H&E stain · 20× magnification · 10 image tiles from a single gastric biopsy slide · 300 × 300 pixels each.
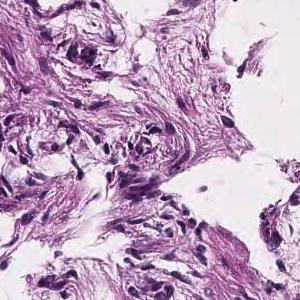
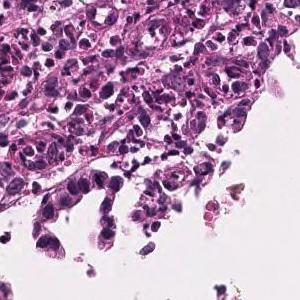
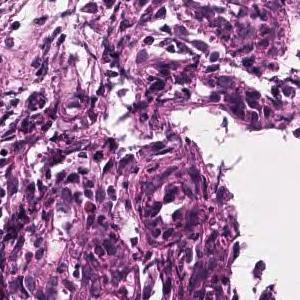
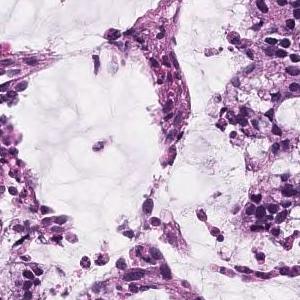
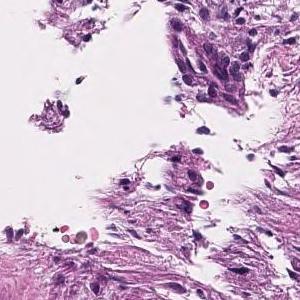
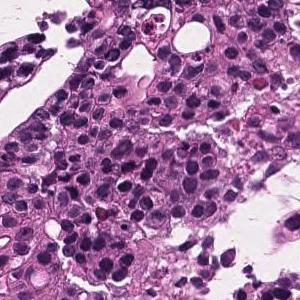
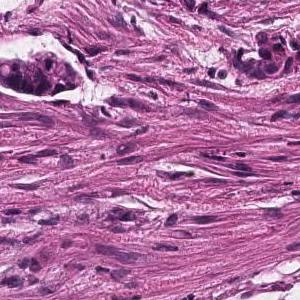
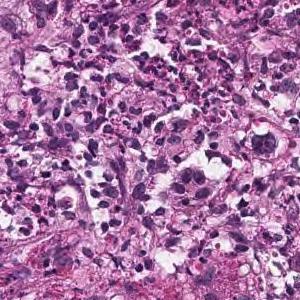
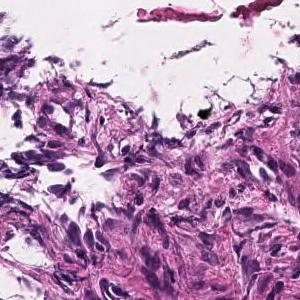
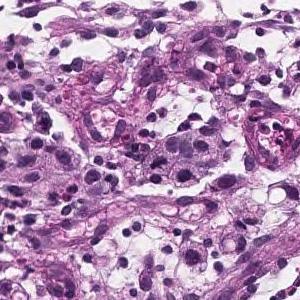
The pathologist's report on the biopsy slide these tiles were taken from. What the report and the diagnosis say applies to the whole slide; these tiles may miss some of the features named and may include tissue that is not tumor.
Atypical epithelial cells form obscure ductal structures or small solid follicles, and tumor tissue that proliferates invasively with proliferation of inflammatory granulation tissue is observed. Mucinous adenocarcinoma .
